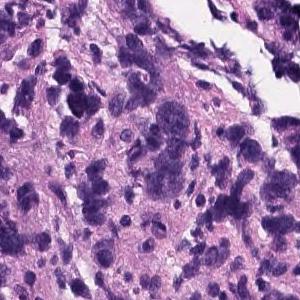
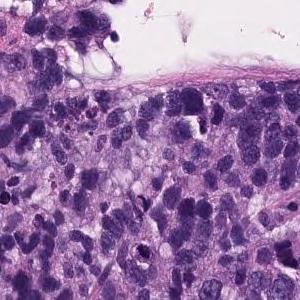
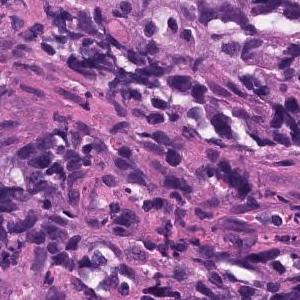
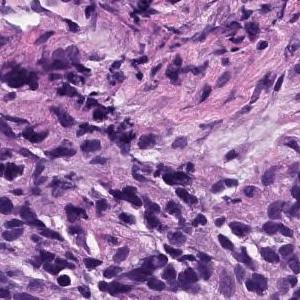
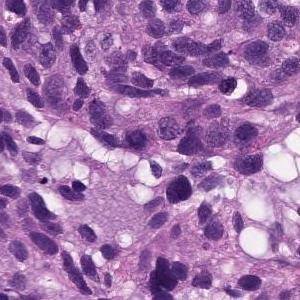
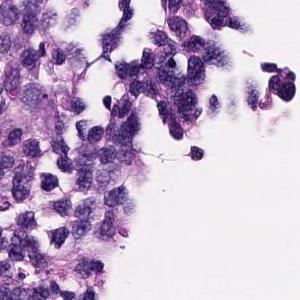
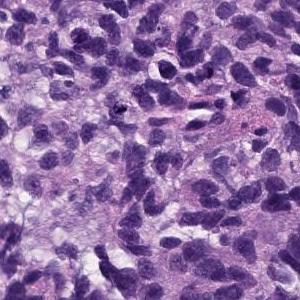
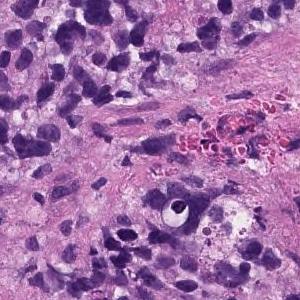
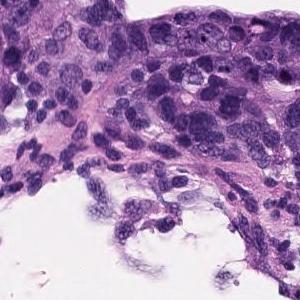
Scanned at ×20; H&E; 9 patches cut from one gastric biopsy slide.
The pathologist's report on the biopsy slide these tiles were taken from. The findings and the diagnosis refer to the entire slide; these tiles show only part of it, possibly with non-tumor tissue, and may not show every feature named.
Atypical l cells with atypical nuclei under the mucosa growing in isolation and scattered. Poorly differentiated adenocarcinoma (poorly differentiated adenocarcinoma, non-solid type)
Tumor subtype: poorly differentiated adenocarcinoma, non-solid type.
"Non-solid type" is a category of the Japanese Classification of Gastric Carcinoma.
